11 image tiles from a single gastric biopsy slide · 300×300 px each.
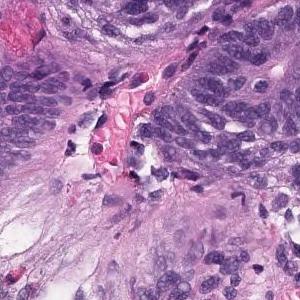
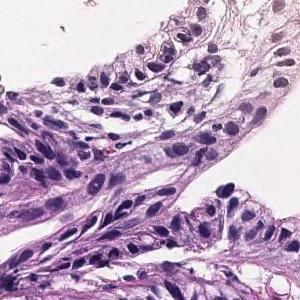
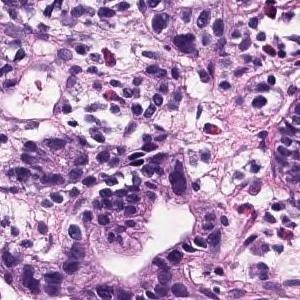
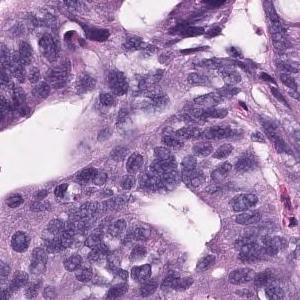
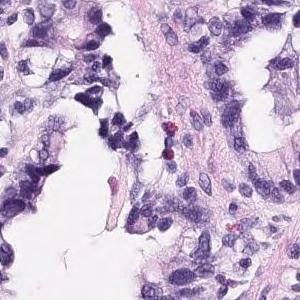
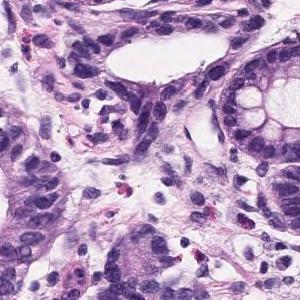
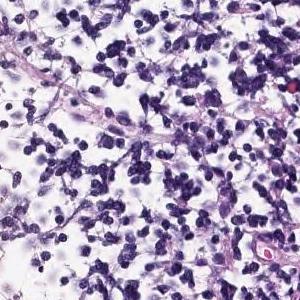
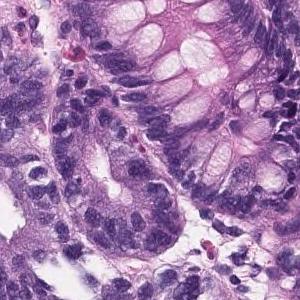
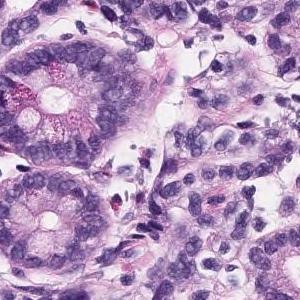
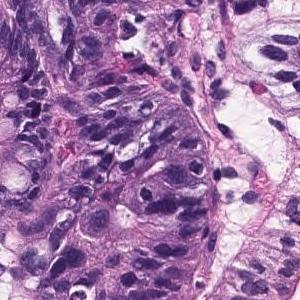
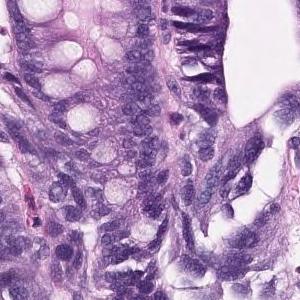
Report on the slide these tiles come from. Both the report and the diagnosis are for the whole slide: these tiles need not show every feature named, and some of the tissue shown may not be tumor.
Tumor cells are large, highly columnar, large club-shaped nuclei, and are associated with chromatin aggregation. Papillary adenocarcinoma.
